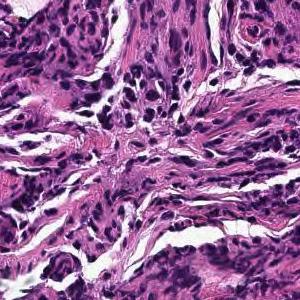
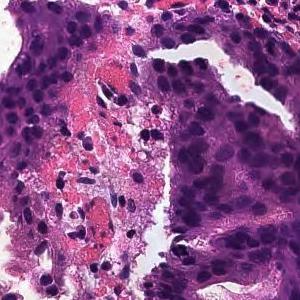
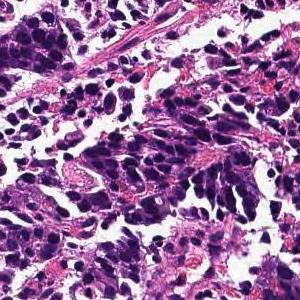
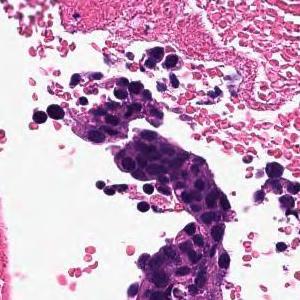
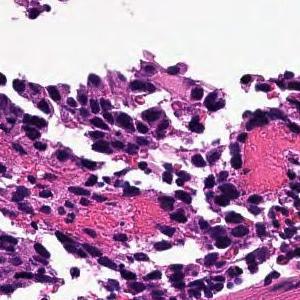
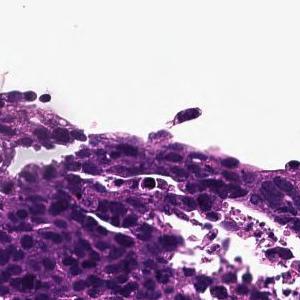
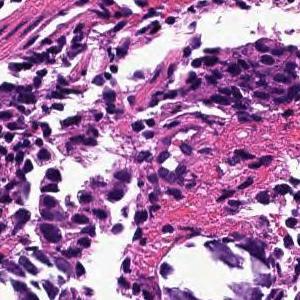
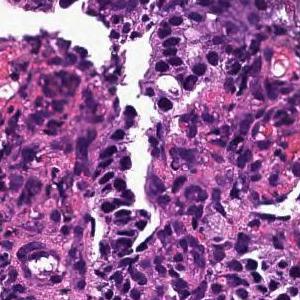
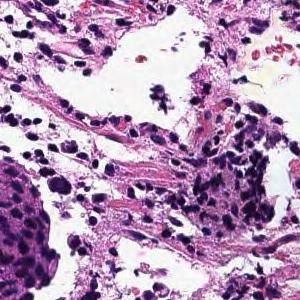
9 tiles cut from one stomach biopsy slide; each 300 × 300 pixels; hematoxylin and eosin stain.
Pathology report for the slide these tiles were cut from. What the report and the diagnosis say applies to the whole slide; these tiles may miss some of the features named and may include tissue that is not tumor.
In the superficial epithelium, tumor tissue that invades by forming medium-sized to small, irregular ducts is observed. moderately differentiated tubular adenocarcinoma.
